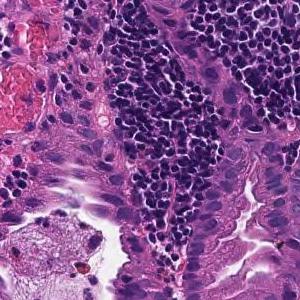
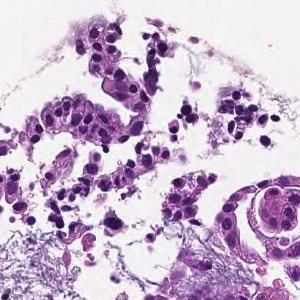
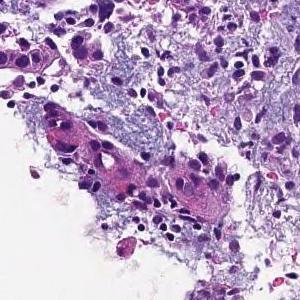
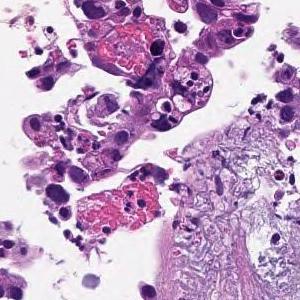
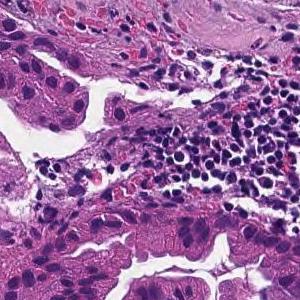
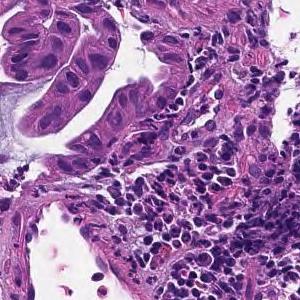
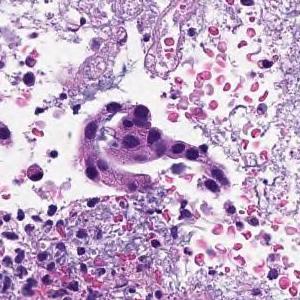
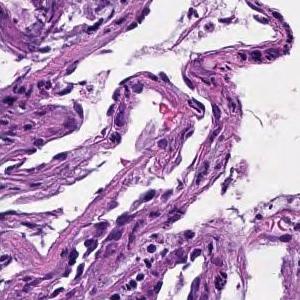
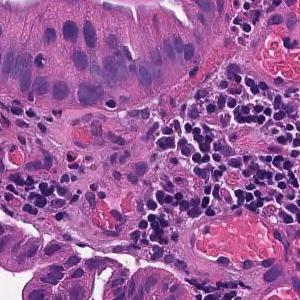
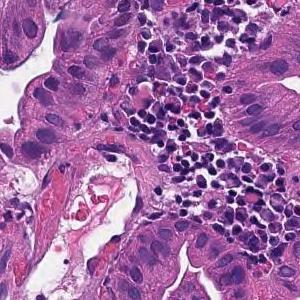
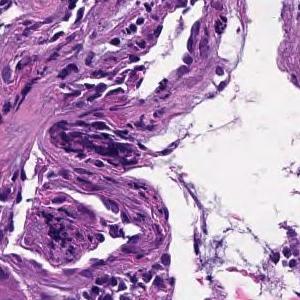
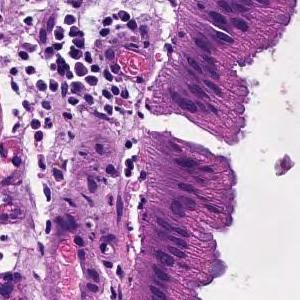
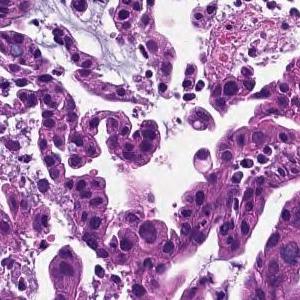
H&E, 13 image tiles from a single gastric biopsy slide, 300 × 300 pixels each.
Diagnostic report for the slide these tiles come from. The report and the diagnosis describe the slide as a whole, so these tiles may not show every feature named and may include non-tumor tissue.
On the superficial epithelium, tumor tissue that infiltrates by forming medium-sized papillary or small irregular ducts is observed. Papillary adenocarcinoma
